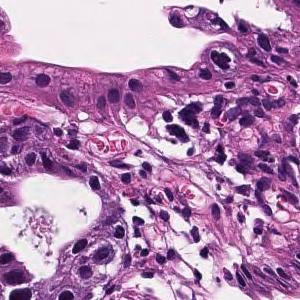
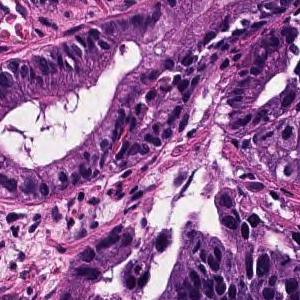
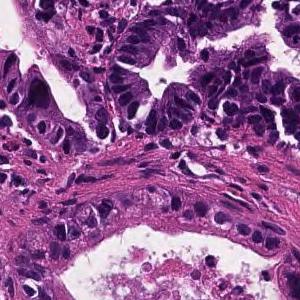
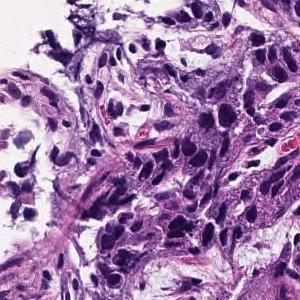
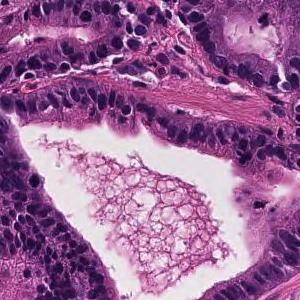
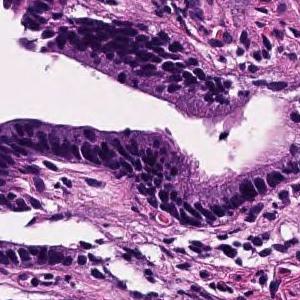
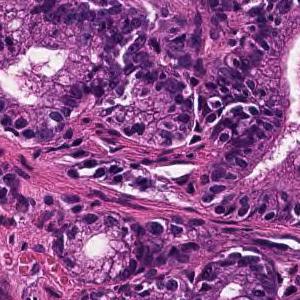
Scanned at ×20, H&E, 7 image tiles from a single gastric biopsy slide.
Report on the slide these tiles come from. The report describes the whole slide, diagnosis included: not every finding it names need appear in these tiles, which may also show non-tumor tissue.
Tumor cells are large, highly columnar, large club-shaped nuclei, and are associated with chromatin aggregation. Papillary adenocarcinoma.
